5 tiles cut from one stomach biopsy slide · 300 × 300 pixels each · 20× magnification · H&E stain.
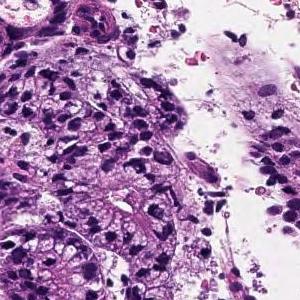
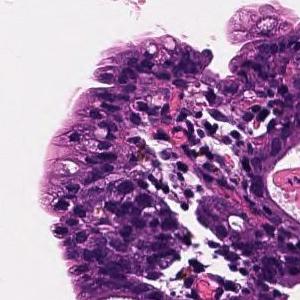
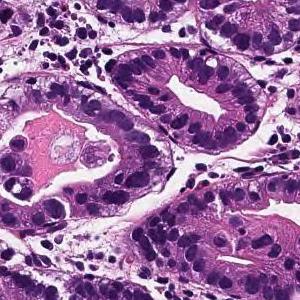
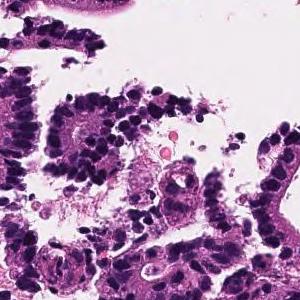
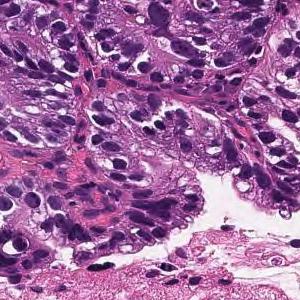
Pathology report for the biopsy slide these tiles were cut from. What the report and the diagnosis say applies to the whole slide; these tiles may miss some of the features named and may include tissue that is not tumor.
From the superficial epithelium to the muscularis mucosae, tumor tissue consisting of medium-sized and irregular glandular ducts infiltrating is observed. Well differentiated tubular adenocarcinoma
